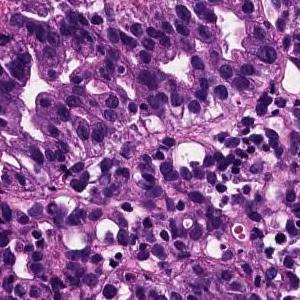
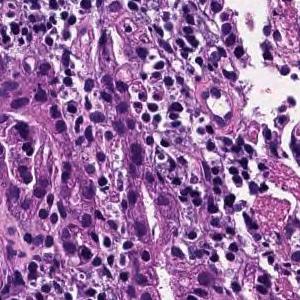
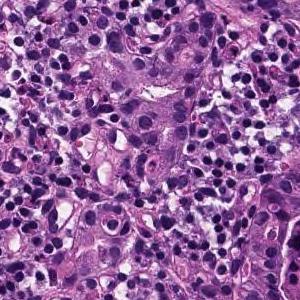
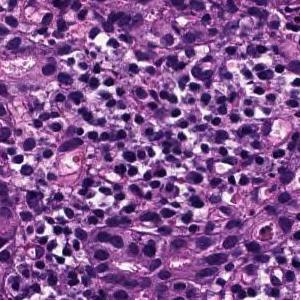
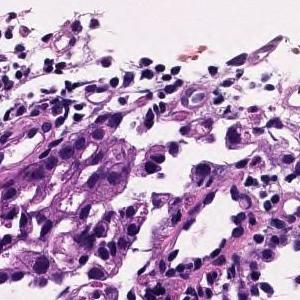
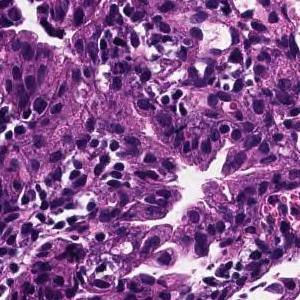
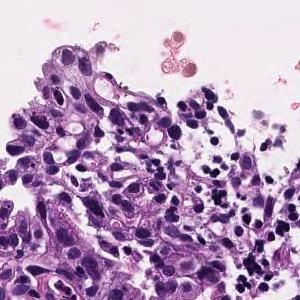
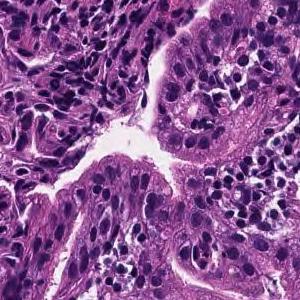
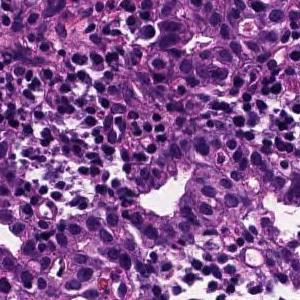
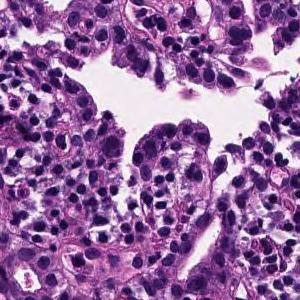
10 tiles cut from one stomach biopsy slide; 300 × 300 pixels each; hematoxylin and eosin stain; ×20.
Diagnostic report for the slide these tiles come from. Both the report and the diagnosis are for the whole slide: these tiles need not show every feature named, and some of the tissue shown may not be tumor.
Medium to small, irregular glandular ducts are formed in the superficial epithelium, and in some cases, the glandular ducts are fused to show solid alveolar lesions and infiltrating tumor tissue is observed. Moderately to poorly differentiated adenocarcinoma.
